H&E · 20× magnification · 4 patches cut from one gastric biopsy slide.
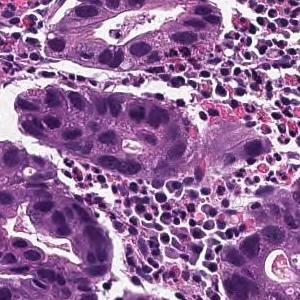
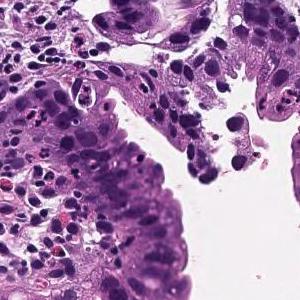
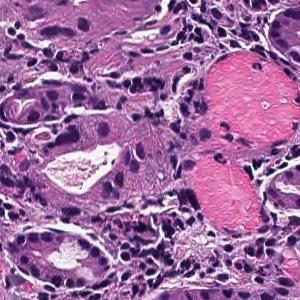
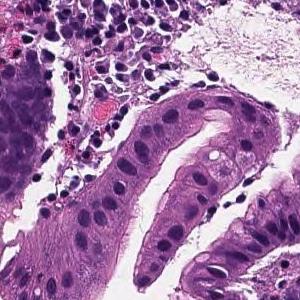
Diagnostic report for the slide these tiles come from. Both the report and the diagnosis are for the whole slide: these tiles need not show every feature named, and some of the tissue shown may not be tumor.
From the superficial epithelium to the muscularis mucosae, tumor tissue consisting of medium-sized and irregular glandular ducts infiltrating is observed. Well differentiated tubular adenocarcinoma
